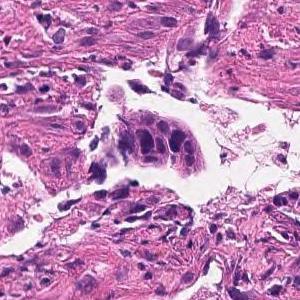
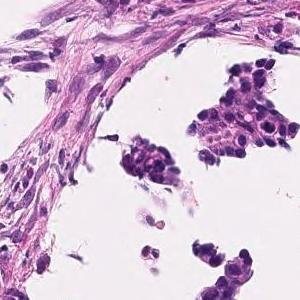
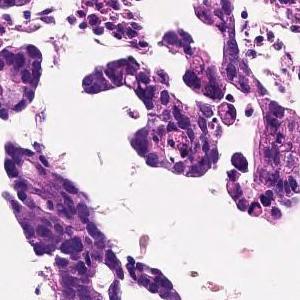
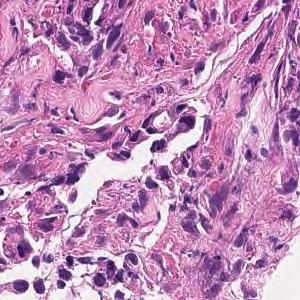
Scanned at ×20 · hematoxylin and eosin stain · 4 patches cut from one gastric biopsy slide.
The pathologist's report on the biopsy slide these tiles were taken from. The findings and the diagnosis refer to the entire slide; these tiles show only part of it, possibly with non-tumor tissue, and may not show every feature named.
On the superficial epithelium, tumor tissue consisting of images of small to medium-sized and irregular tubules infiltrating with irregular fusion is observed. moderately differentiated tubular adenocarcinoma
